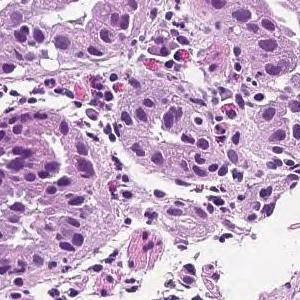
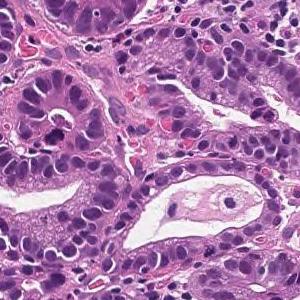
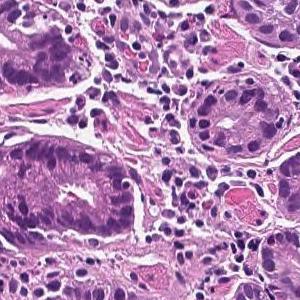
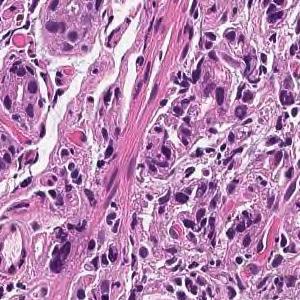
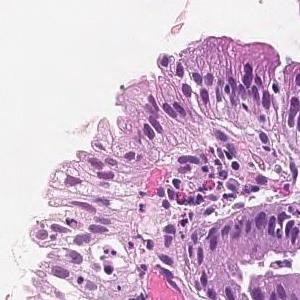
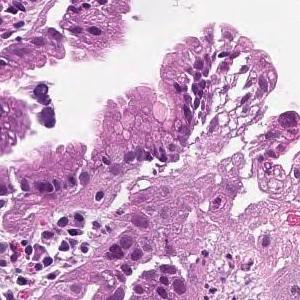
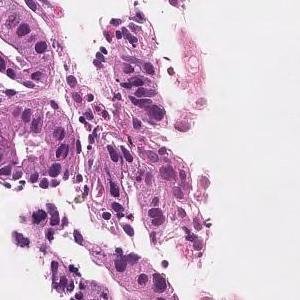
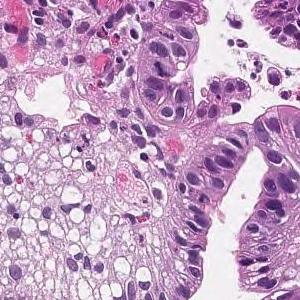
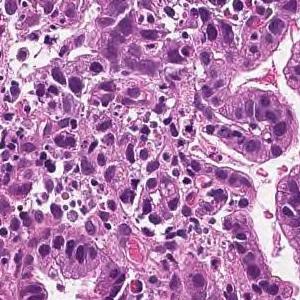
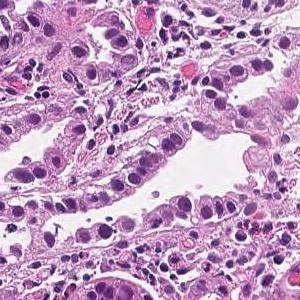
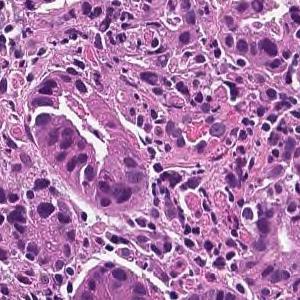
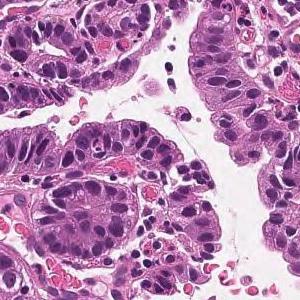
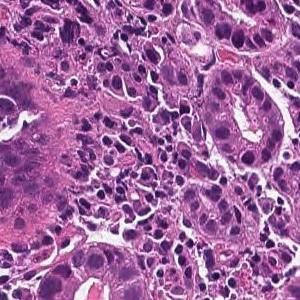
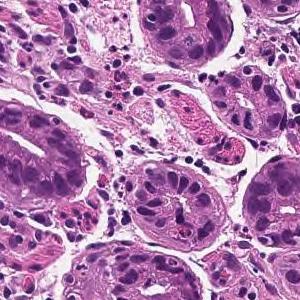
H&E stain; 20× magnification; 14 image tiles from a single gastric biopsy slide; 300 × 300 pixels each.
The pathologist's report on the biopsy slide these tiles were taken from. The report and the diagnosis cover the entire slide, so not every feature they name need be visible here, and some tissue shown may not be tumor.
On the superficial epithelium, tumor tissue consisting of large irregular glandular ducts partially fused and infiltrated is observed. Well to moderately differentiated tubular adenocarcinoma (well differentiated tubular adenocarcinoma, moderately differentiated tubular adenocarcinoma)
Histologic type: Well to moderately differentiated tubular adenocarcinoma.
